8 tiles from the same stomach biopsy slide, each 300 × 300 pixels, hematoxylin and eosin stain.
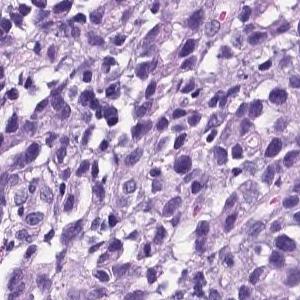
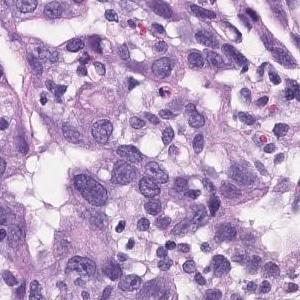
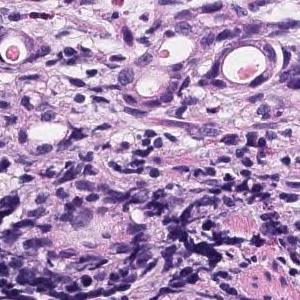
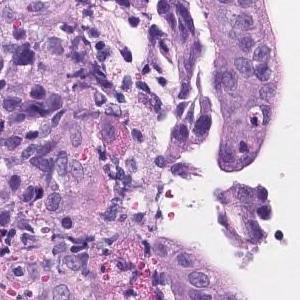
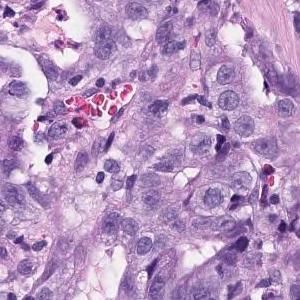
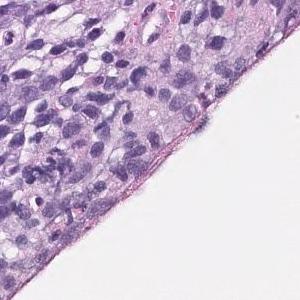
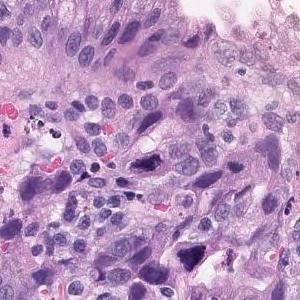
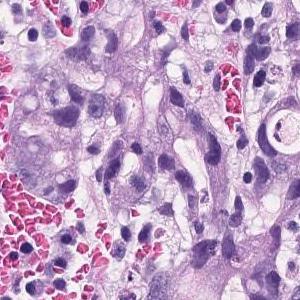
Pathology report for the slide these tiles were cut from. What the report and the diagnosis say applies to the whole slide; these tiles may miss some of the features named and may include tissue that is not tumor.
There are atypical l cells with atypical nuclei forming cord-like or irregular atypical ducts from solidity and proliferating in a comprehensive manner. Poorly differentiated adenocarcinoma, Moderately differentiated adenocarcinoma (poorly differentiated adenocarcinoma, solid type moderately differentiated tubular adenocarcinoma)
Subtype: Moderately to poorly differentiated adenocarcinoma.
"Solid type" is a category of the Japanese Classification of Gastric Carcinoma; in the WHO 2019 classification it is tubular adenocarcinoma, poorly differentiated.
